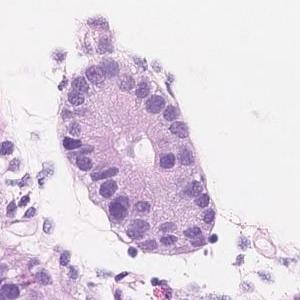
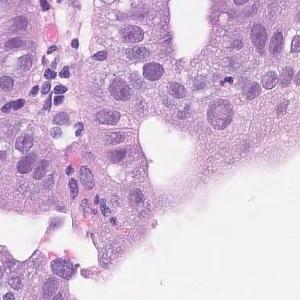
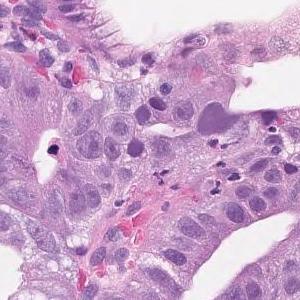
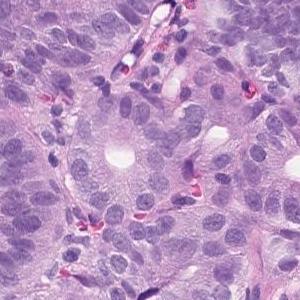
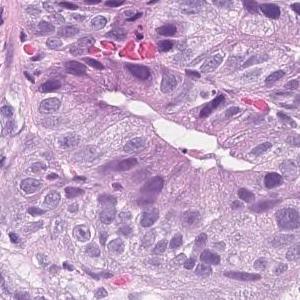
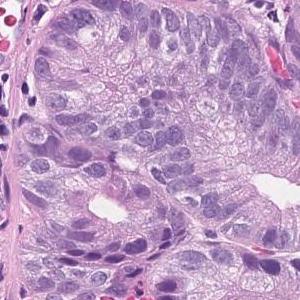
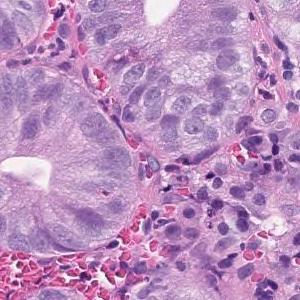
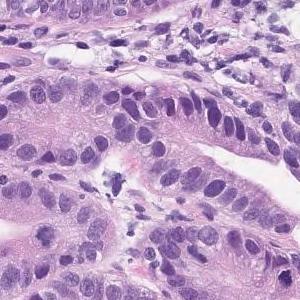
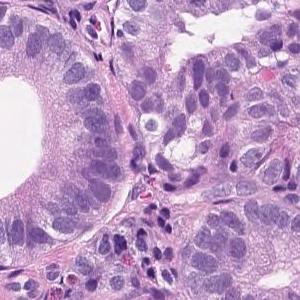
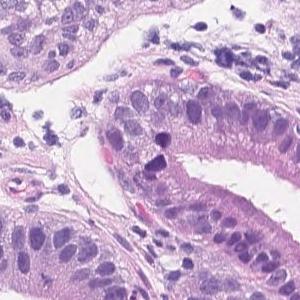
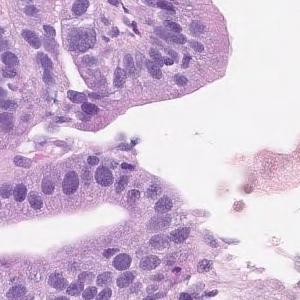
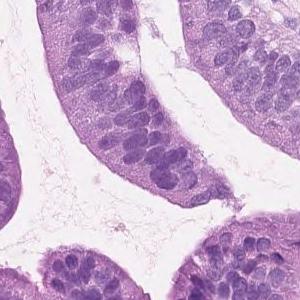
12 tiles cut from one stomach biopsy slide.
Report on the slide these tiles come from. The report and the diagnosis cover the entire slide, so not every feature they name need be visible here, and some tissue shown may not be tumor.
Tumor tissue consisting of medium-sized and irregular ducts is observed infiltrating in the superficial epithelium. Tumor cells are highly columnar, with nuclei aligned basolaterally and polarized. Well differentiated tubular adenocarcinoma.
